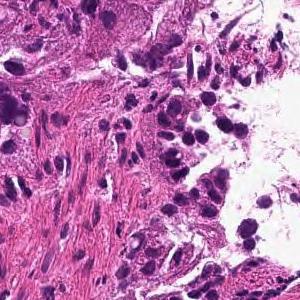
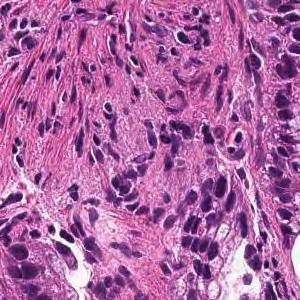
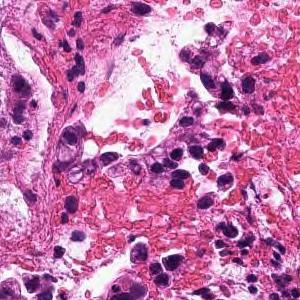
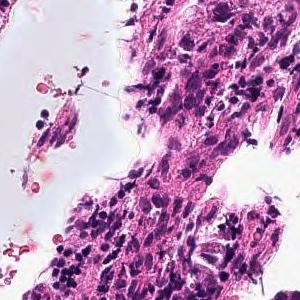
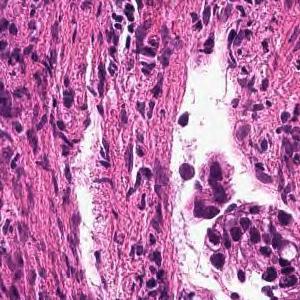
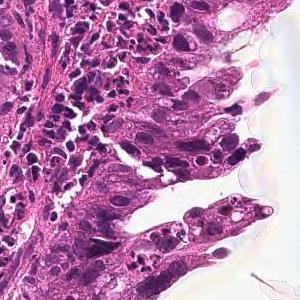
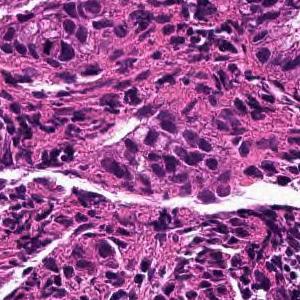
7 image tiles from a single gastric biopsy slide · each 300 × 300 pixels · 20× magnification · H&E stain.
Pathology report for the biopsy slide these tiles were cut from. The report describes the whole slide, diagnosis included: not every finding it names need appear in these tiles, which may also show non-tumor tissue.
From the superficial epithelium to the muscularis mucosae, tumor tissue infiltrating by forming medium-sized irregular gland ducts is observed. Well differentiated tubular adenocarcinoma
